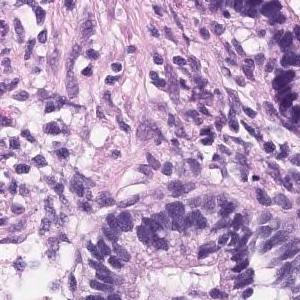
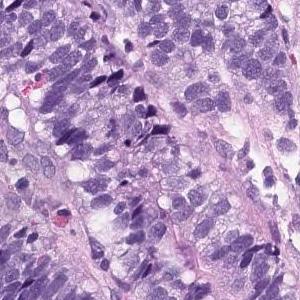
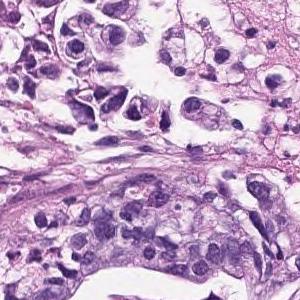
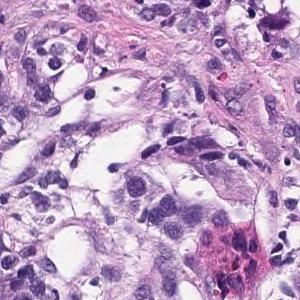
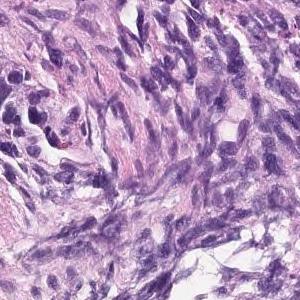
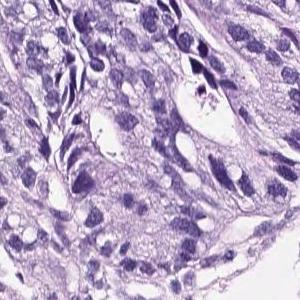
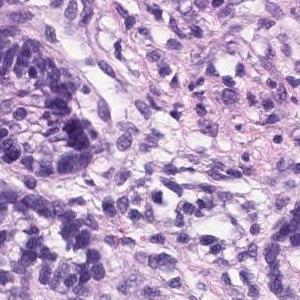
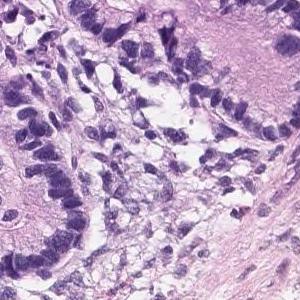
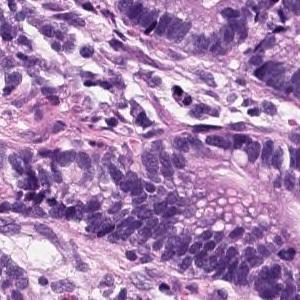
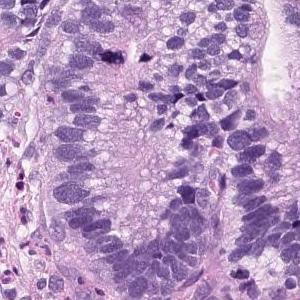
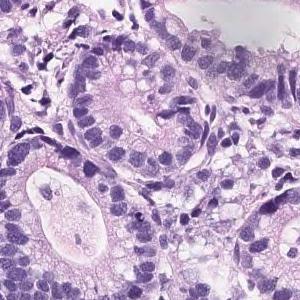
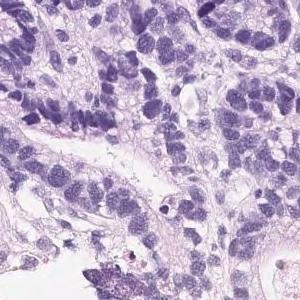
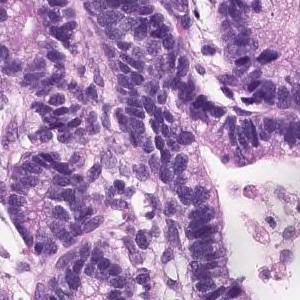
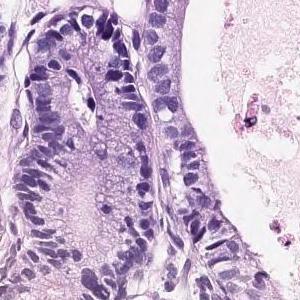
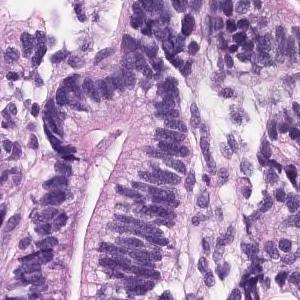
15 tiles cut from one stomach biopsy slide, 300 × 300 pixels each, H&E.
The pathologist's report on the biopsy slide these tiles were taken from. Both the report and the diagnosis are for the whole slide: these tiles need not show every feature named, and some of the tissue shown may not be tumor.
Hyperplasia of atypical epithelial cells with swelling of the nucleus is observed. Moderately diffentiated tubular adenocarcinoma
Classified as moderately differentiated tubular adenocarcinoma.
